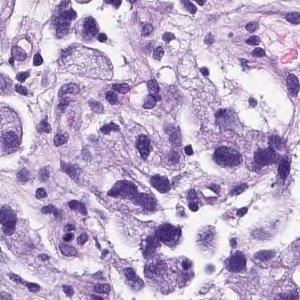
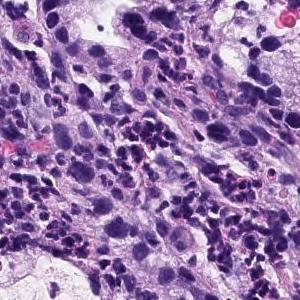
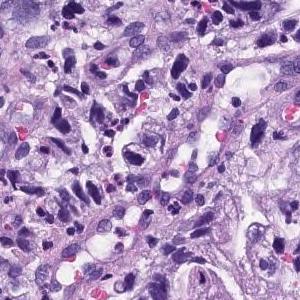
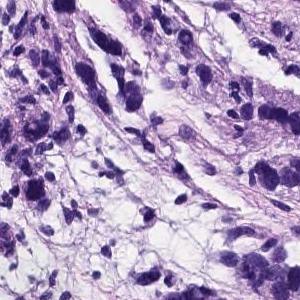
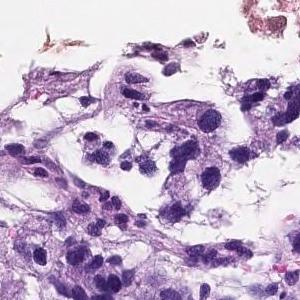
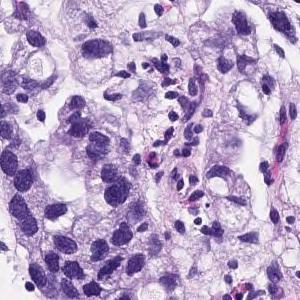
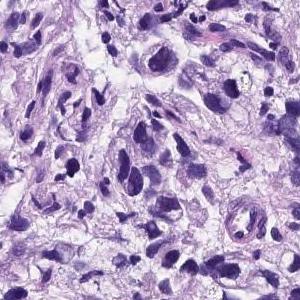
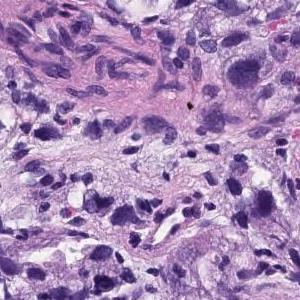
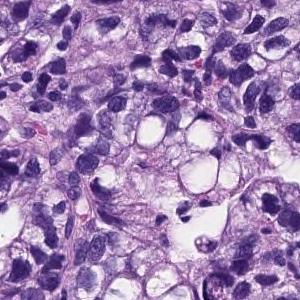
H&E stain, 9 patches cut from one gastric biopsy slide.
The pathologist's report on the biopsy slide these tiles were taken from. The findings and the diagnosis refer to the entire slide; these tiles show only part of it, possibly with non-tumor tissue, and may not show every feature named.
Medium to small, irregular glandular ducts are formed in the superficial epithelium, and in some cases, the glandular ducts are fused to show solid alveolar lesions and infiltrating tumor tissue is observed. Poorly differentiated adenocarcinoma, Moderately differentiated adenocarcinoma.
Labeled in the dataset as moderately differentiated tubular adenocarcinoma.
